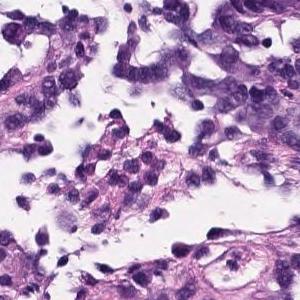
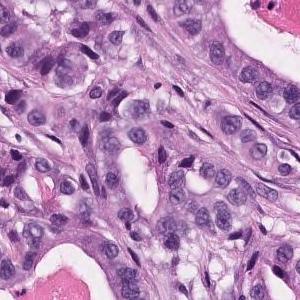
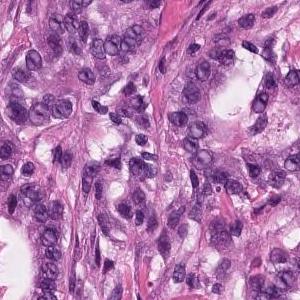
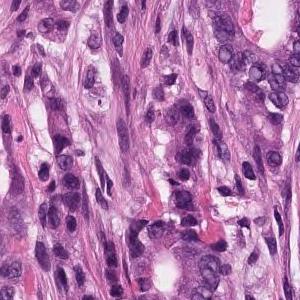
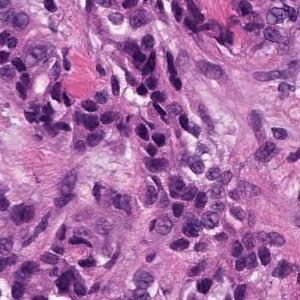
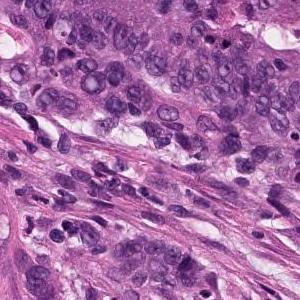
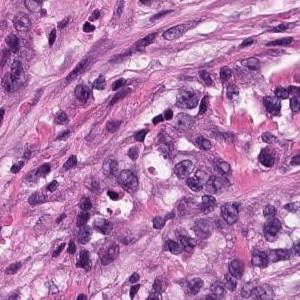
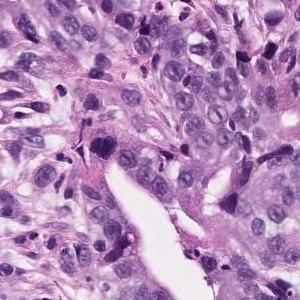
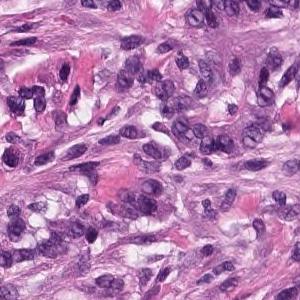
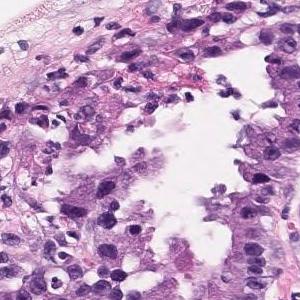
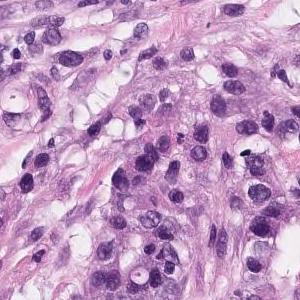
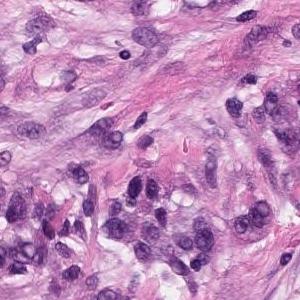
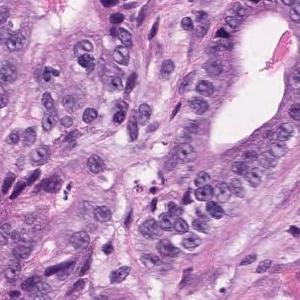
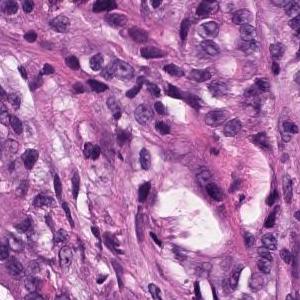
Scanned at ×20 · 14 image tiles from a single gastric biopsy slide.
The pathologist's report on the biopsy slide these tiles were taken from. Both the report and the diagnosis are for the whole slide: these tiles need not show every feature named, and some of the tissue shown may not be tumor.
In the superficial epithelium, tumor tissue that invades by forming medium-sized to small, irregular ducts is observed. Moderately differentiated adenocarcinoma.
Classified as moderately differentiated tubular adenocarcinoma.
